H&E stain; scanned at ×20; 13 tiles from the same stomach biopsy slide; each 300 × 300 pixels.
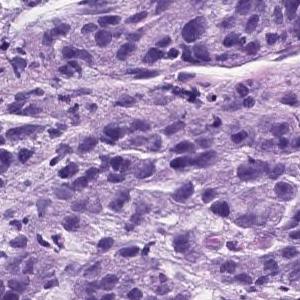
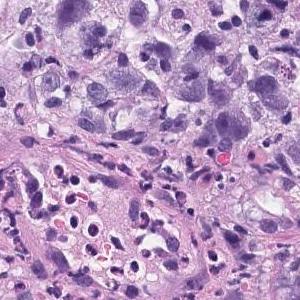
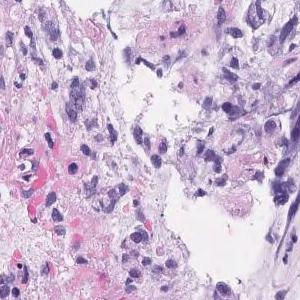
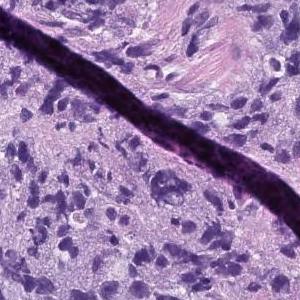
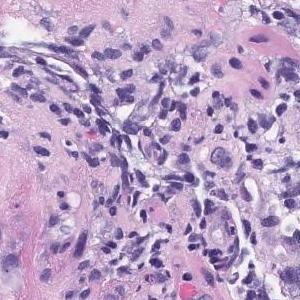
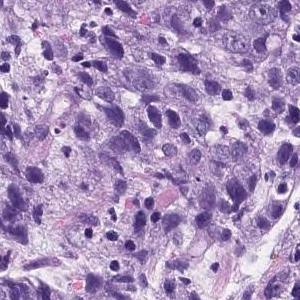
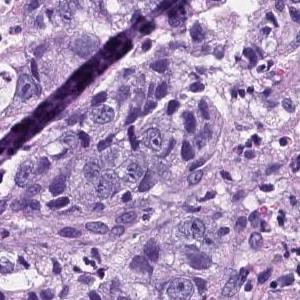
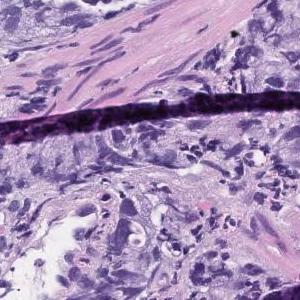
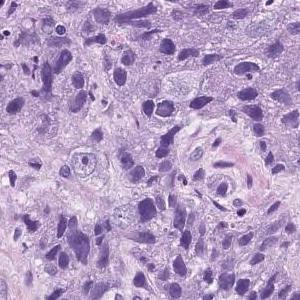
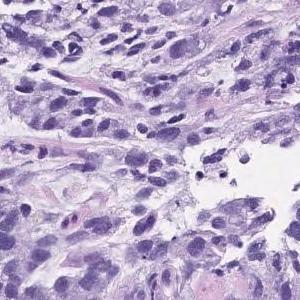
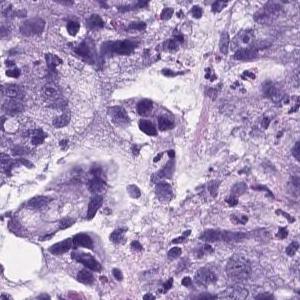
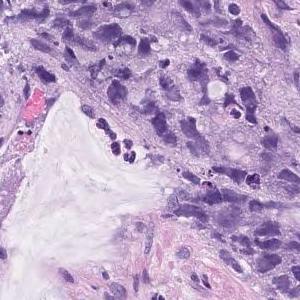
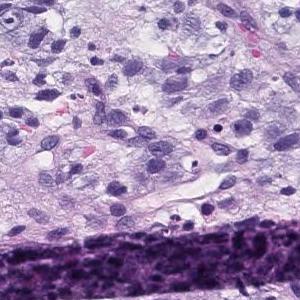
Pathology report for the slide these tiles were cut from. The findings and the diagnosis refer to the entire slide; these tiles show only part of it, possibly with non-tumor tissue, and may not show every feature named.
Atypical l cells with atypical nuclei forming solid vesicles or small irregular atypical ducts that proliferate in a complex manner. poorly differentiated adenocarcinoma, solid type, moderately differentiated tubular adenocarcinoma
The solid type named here is a Japanese Classification of Gastric Carcinoma category; WHO 2019 calls it tubular adenocarcinoma, poorly differentiated.
